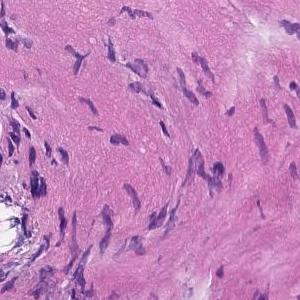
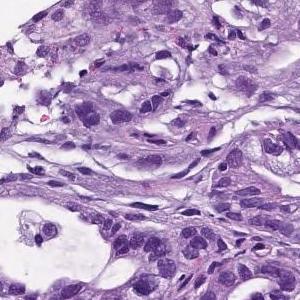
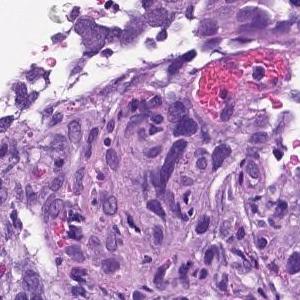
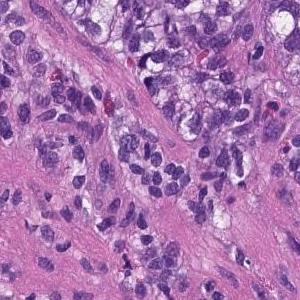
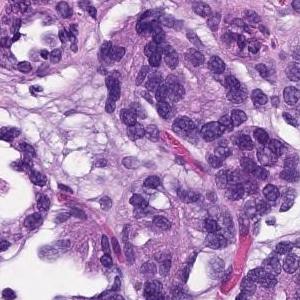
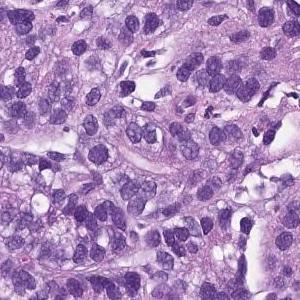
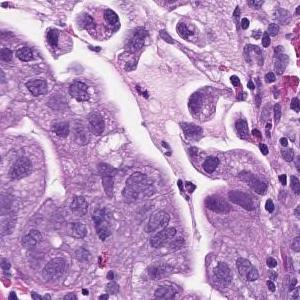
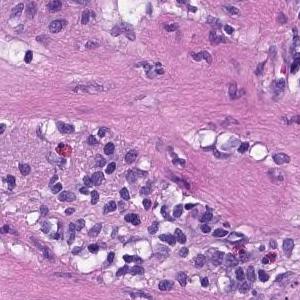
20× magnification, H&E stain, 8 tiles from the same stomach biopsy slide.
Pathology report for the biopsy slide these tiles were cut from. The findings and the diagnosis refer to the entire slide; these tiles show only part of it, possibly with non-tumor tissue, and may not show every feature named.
From the superficial epithelium to the muscularis mucosae, tumor tissue consisting of medium-sized and irregular glandular ducts infiltrating is observed. Well differentiated tubular adenocarcinoma
